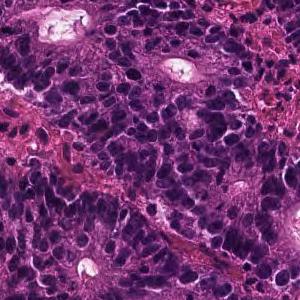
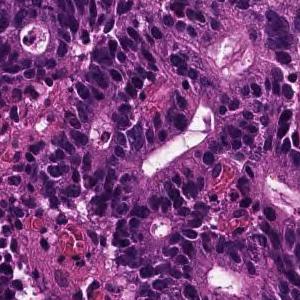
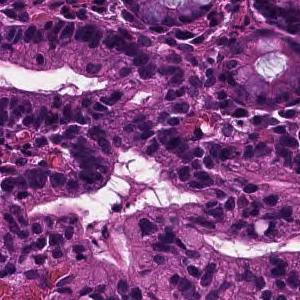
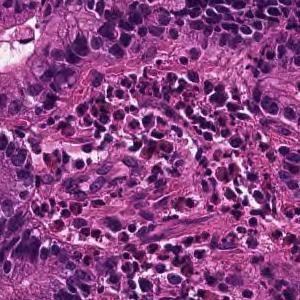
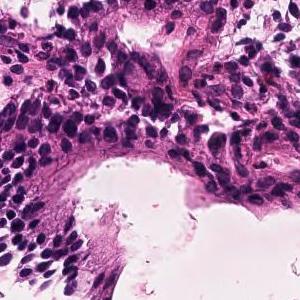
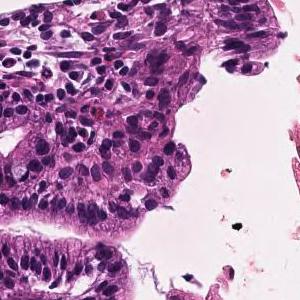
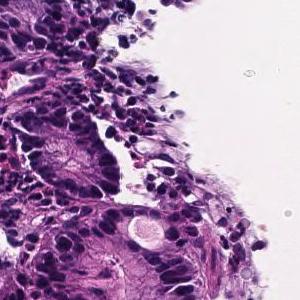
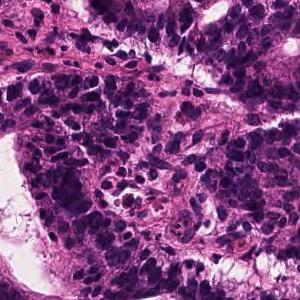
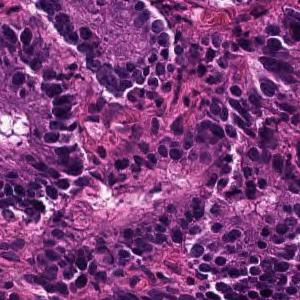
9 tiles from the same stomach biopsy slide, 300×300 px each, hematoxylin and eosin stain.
Pathology report for the biopsy slide these tiles were cut from. What the report and the diagnosis say applies to the whole slide; these tiles may miss some of the features named and may include tissue that is not tumor.
In the superficial epithelium, tumor tissue that invades by forming medium-sized to small, irregular ducts is observed. moderately differentiated tubular adenocarcinoma.
